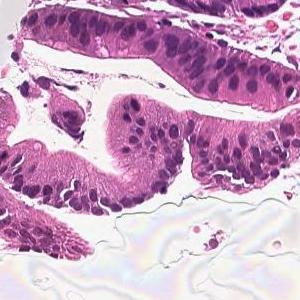
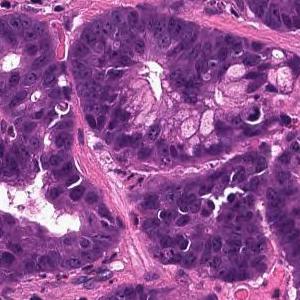
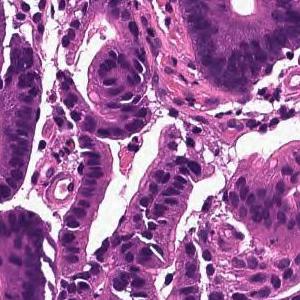
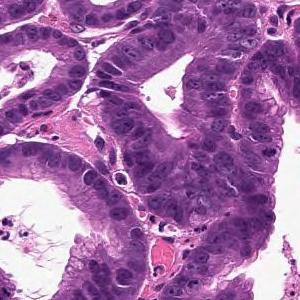
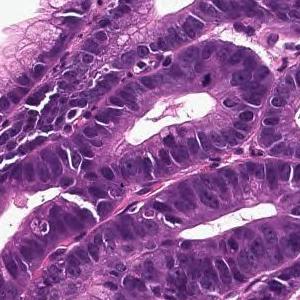
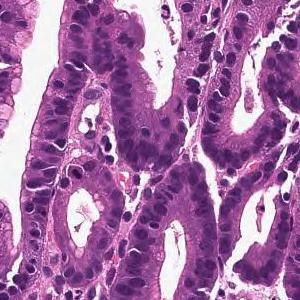
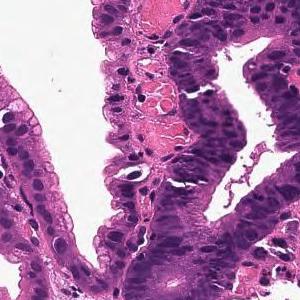
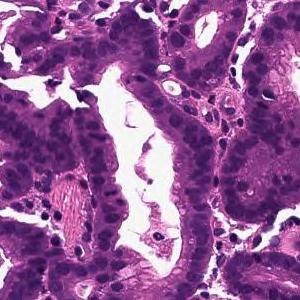
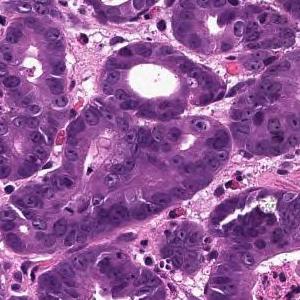
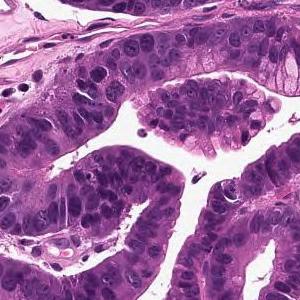
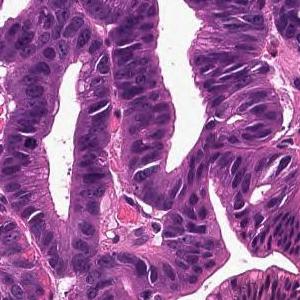
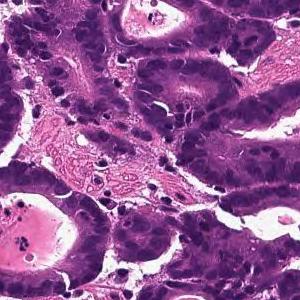
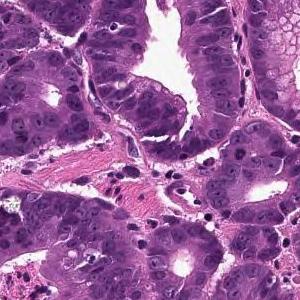
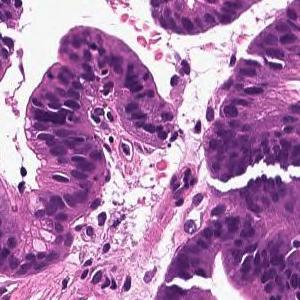
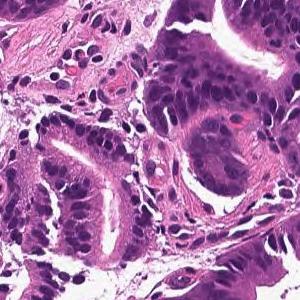
15 tiles from the same stomach biopsy slide · 300×300 px each.
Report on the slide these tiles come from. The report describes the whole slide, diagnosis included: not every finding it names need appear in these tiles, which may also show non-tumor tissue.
From the superficial epithelium to the muscularis mucosae, tumor tissue consisting of medium-sized and irregular glandular ducts infiltrating is observed. Well differentiated tubular adenocarcinoma
